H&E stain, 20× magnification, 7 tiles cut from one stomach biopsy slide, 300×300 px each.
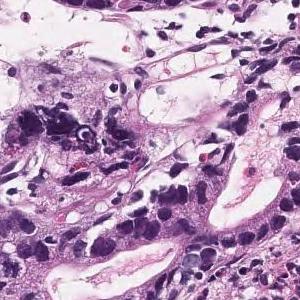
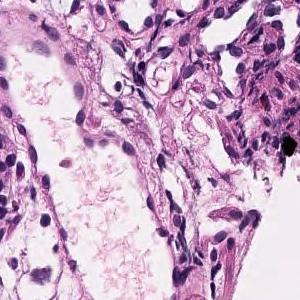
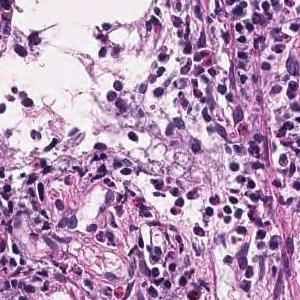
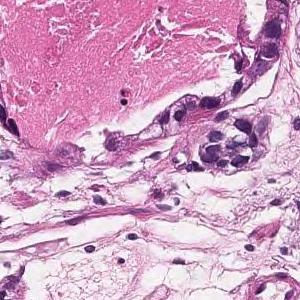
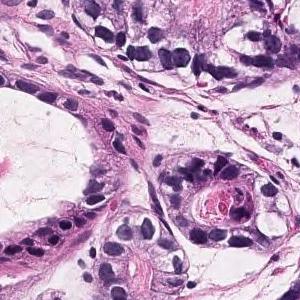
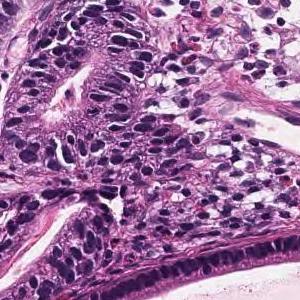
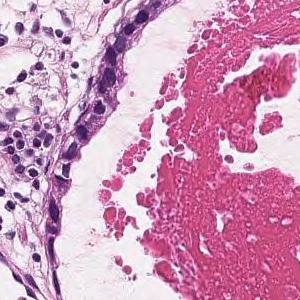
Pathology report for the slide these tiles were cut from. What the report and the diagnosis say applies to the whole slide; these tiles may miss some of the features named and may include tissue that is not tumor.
Tumor tissue consisting of medium-sized and irregular ducts is observed infiltrating in the superficial epithelium. Tumor cells are highly columnar, with nuclei aligned basolaterally and polarized. Well differentiated tubular adenocarcinoma.
